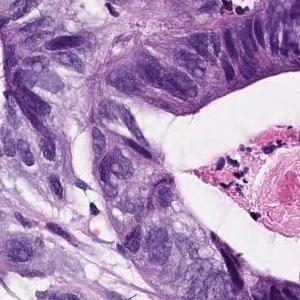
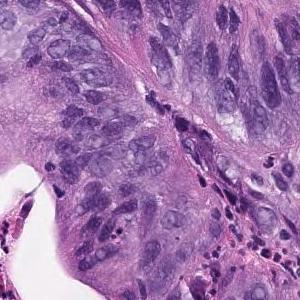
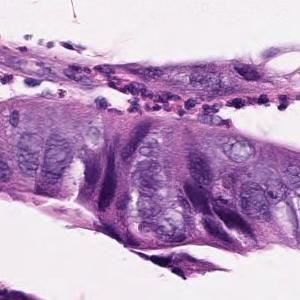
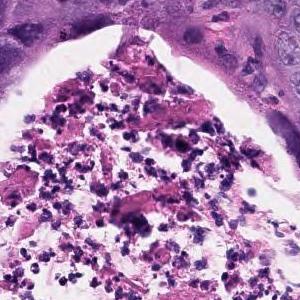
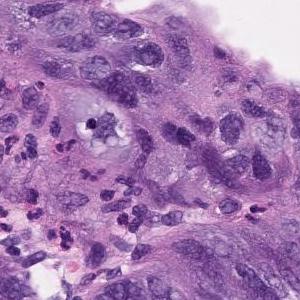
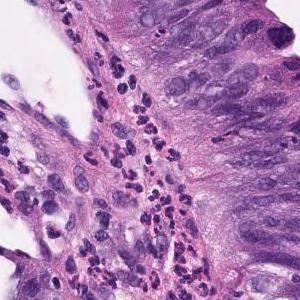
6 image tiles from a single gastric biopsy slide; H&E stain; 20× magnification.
Report on the slide these tiles come from. The report describes the whole slide, diagnosis included: not every finding it names need appear in these tiles, which may also show non-tumor tissue.
In the superficial epithelium, tumor tissue that invades by forming medium-sized to small, irregular ducts is observed. Moderately differentiated adenocarcinoma.
Histologic type: Moderately differentiated tubular adenocarcinoma.
